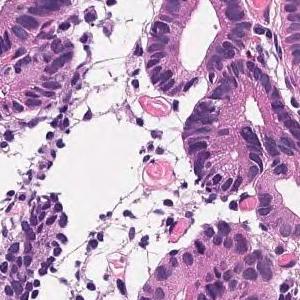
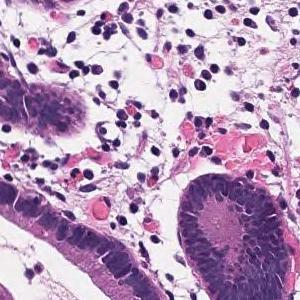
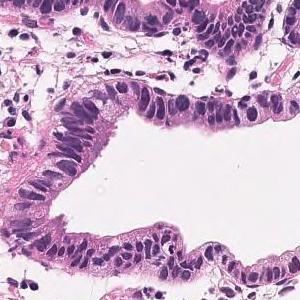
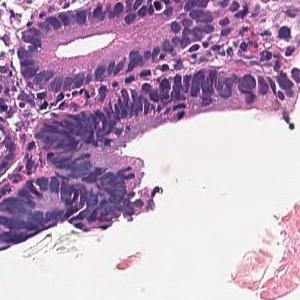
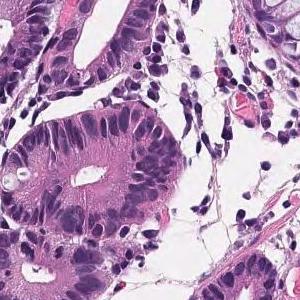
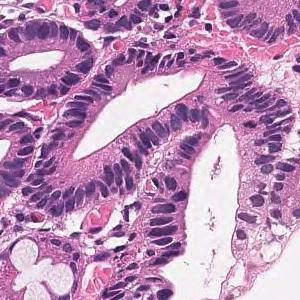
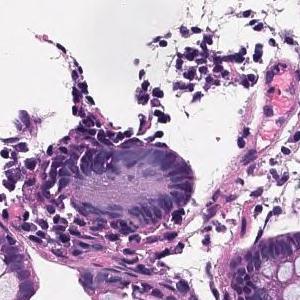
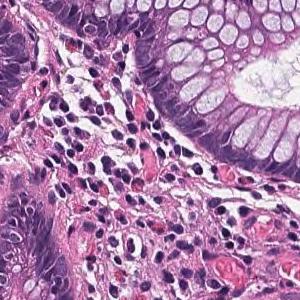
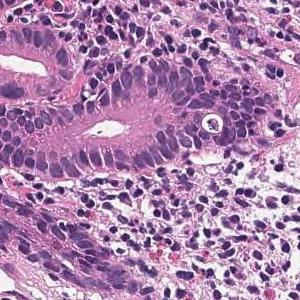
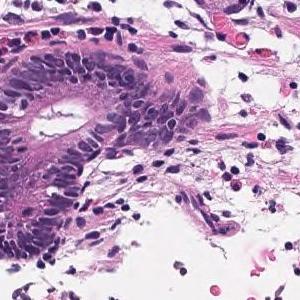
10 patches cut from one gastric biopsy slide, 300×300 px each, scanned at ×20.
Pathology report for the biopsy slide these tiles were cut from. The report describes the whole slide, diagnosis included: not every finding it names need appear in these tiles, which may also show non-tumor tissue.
Tumor tissue in which medium to small irregular ducts infiltrate and proliferate in the submucosa can be seen in the epithelium. Well differentiated tubular adenocarcinoma
